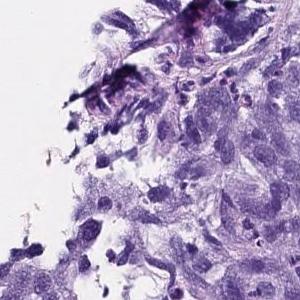
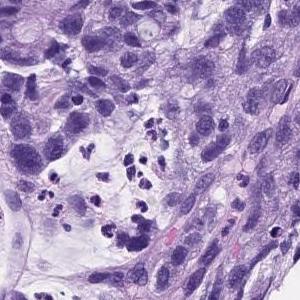
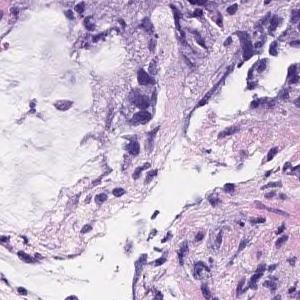
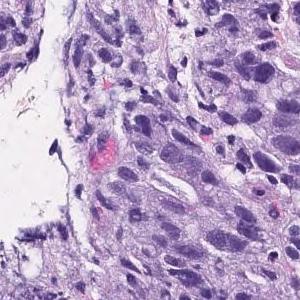
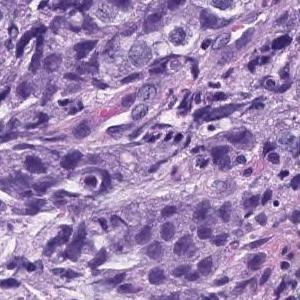
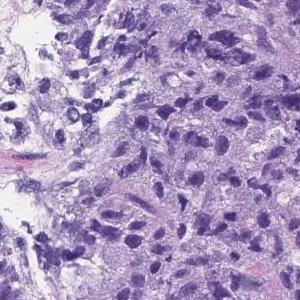
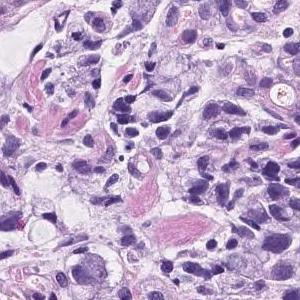
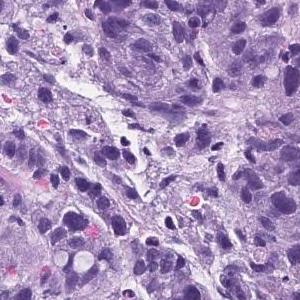
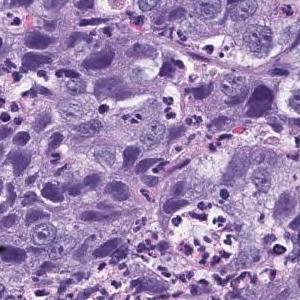
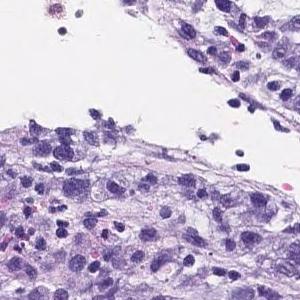
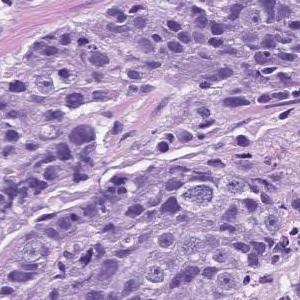
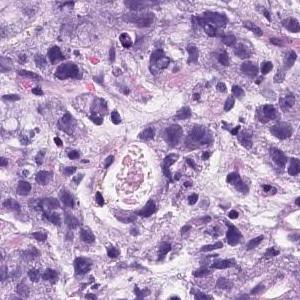
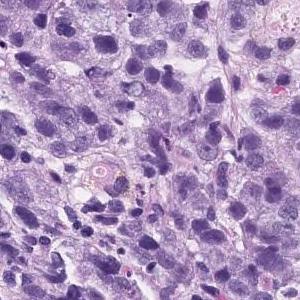
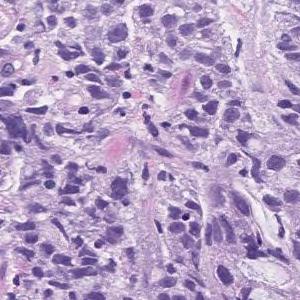
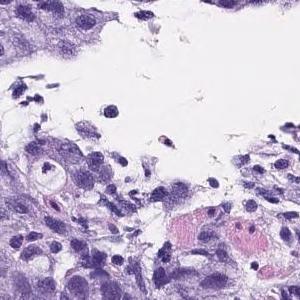
H&E stain · 20× magnification · 15 patches cut from one gastric biopsy slide · 300×300 px each.
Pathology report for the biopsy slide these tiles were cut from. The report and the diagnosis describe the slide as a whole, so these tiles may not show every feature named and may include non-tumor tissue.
Atypical l cells with atypical nuclei forming solid vesicles or small irregular atypical ducts that proliferate in a complex manner. poorly differentiated adenocarcinoma, solid type, moderately differentiated tubular adenocarcinoma
The solid type named here is a Japanese Classification of Gastric Carcinoma category; WHO 2019 calls it tubular adenocarcinoma, poorly differentiated.
